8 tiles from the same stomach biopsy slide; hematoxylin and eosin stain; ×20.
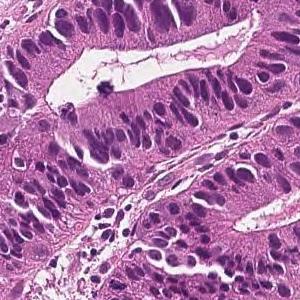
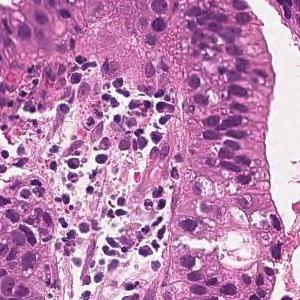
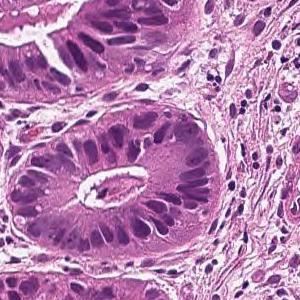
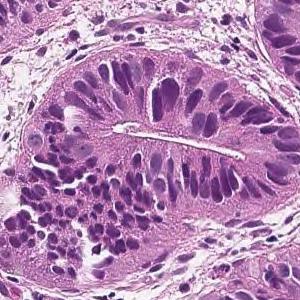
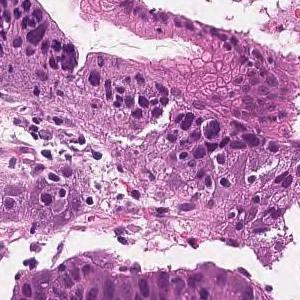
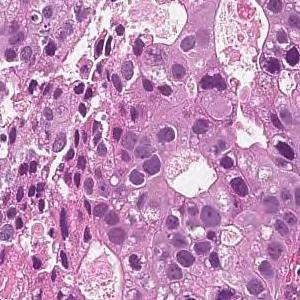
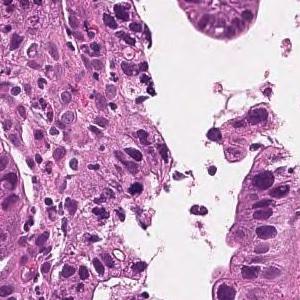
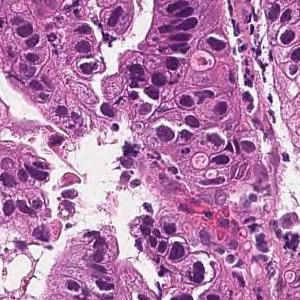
The pathologist's report on the biopsy slide these tiles were taken from. The findings and the diagnosis refer to the entire slide; these tiles show only part of it, possibly with non-tumor tissue, and may not show every feature named.
In the superficial epithelium, tumor tissue that invades by forming medium-sized to small, irregular ducts is observed. moderately differentiated tubular adenocarcinoma.
